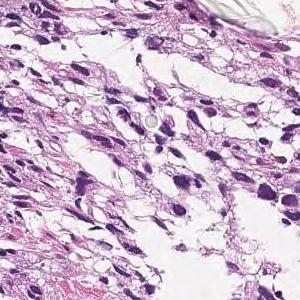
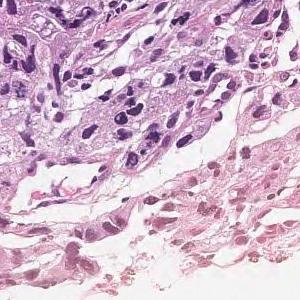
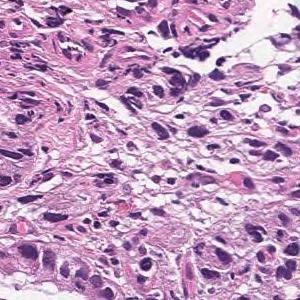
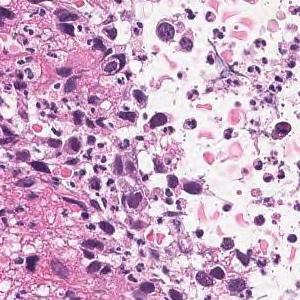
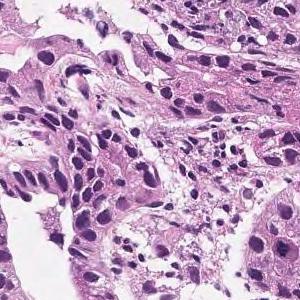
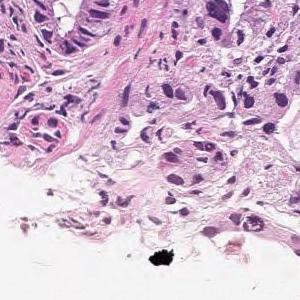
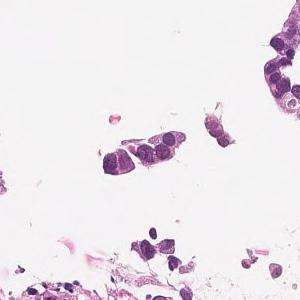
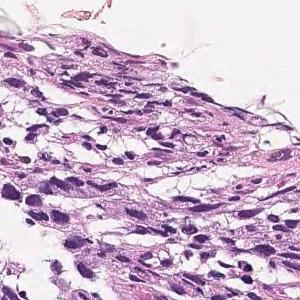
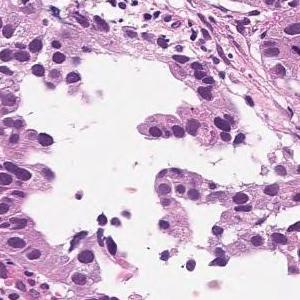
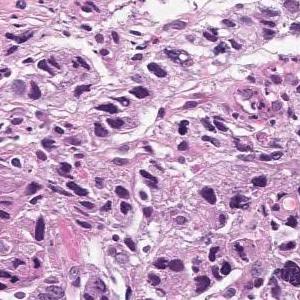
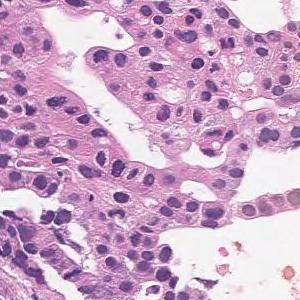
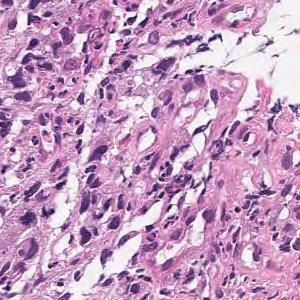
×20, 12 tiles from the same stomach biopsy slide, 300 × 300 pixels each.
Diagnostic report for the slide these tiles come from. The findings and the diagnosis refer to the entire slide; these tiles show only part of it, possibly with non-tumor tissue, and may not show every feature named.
Tumor tissue that grows by forming gland ducts from the surface layer to the submucosa is observed. moderately differentiated tubular adenocarcinoma
